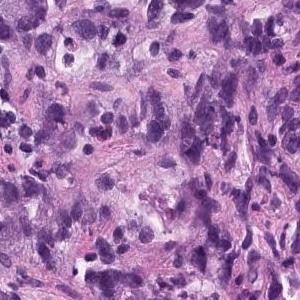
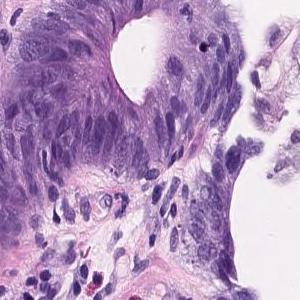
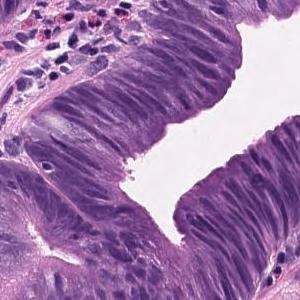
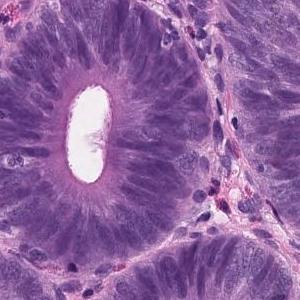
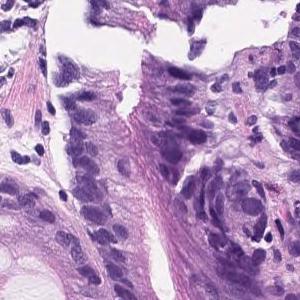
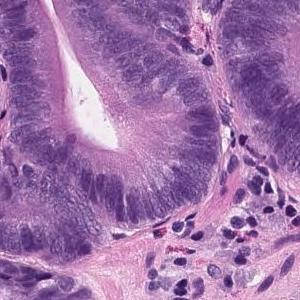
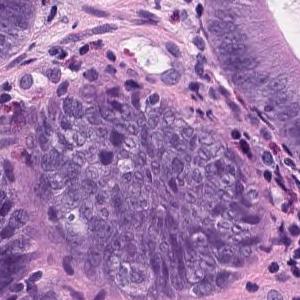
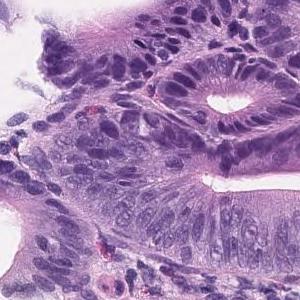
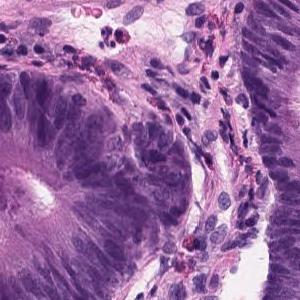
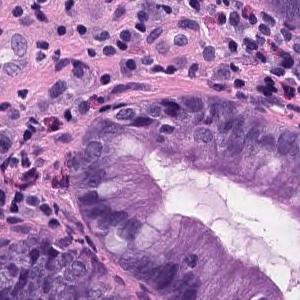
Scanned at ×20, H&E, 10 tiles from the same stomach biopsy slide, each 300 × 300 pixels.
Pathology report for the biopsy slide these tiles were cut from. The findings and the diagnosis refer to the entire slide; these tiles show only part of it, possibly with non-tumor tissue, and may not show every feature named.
On the superficial epithelium, tumor tissue with densely growing medium to large, round tubules is observed. Tumor cells are highly columnar, with nuclei aligned basolaterally and polarized. Well differentiated tubular adenocarcinoma
